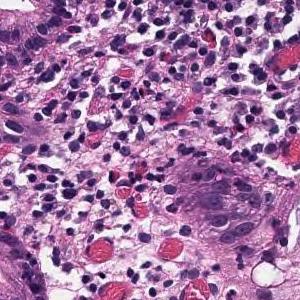
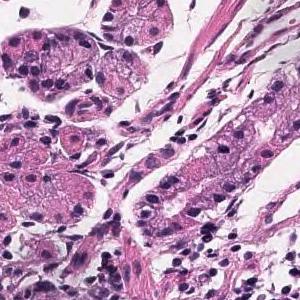
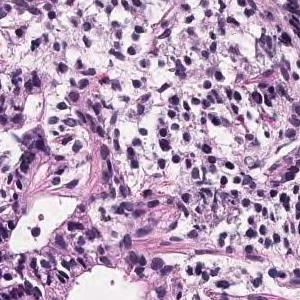
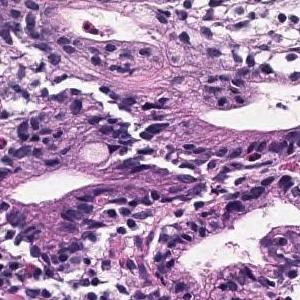
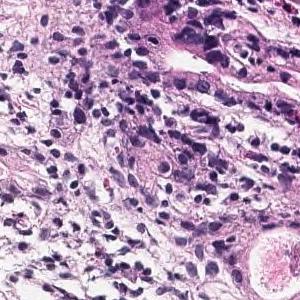
H&E stain; 5 tiles cut from one stomach biopsy slide.
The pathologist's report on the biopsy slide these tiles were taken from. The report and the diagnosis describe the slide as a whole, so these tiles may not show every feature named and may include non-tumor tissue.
Tumor tissue that grows and grows is observed, showing a medium-sized round or irregular duct. moderately differentiated tubular adenocarcinoma
